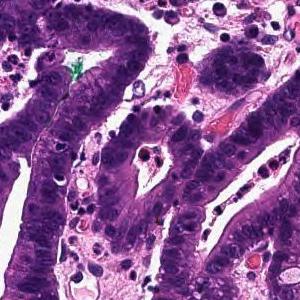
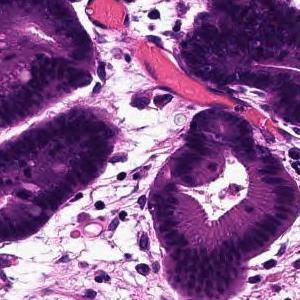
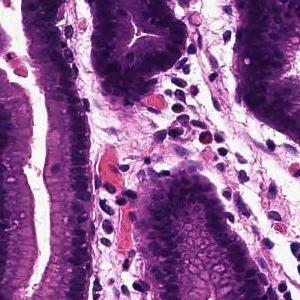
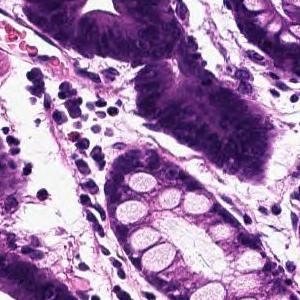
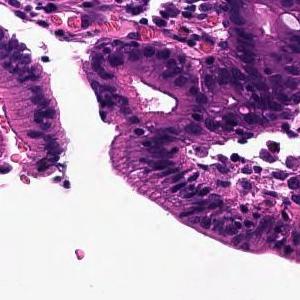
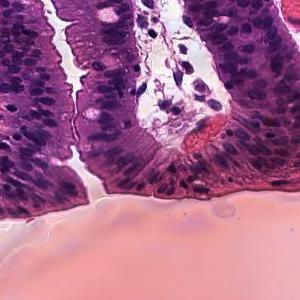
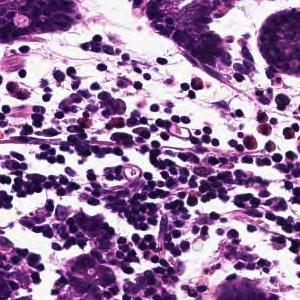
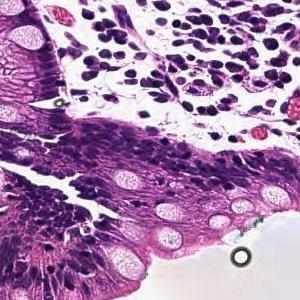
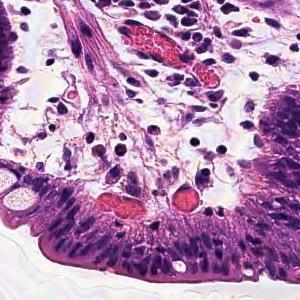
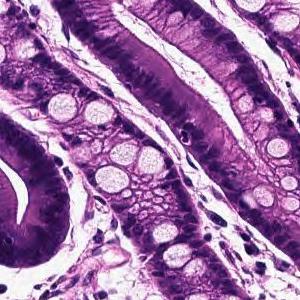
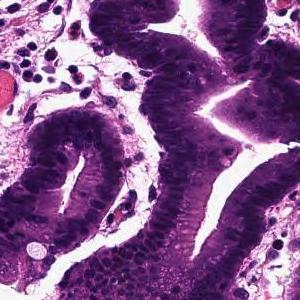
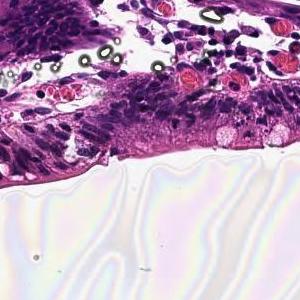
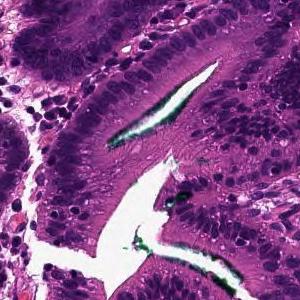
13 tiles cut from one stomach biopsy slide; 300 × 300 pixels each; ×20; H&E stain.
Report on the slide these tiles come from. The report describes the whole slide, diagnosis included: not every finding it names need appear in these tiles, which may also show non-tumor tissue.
Tumor tissue that infiltrates by forming large papillary or large irregular glandular ducts is observed confined to the mucosa. Papillary adenocarcinoma
